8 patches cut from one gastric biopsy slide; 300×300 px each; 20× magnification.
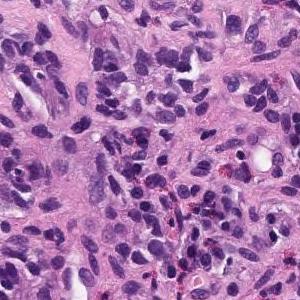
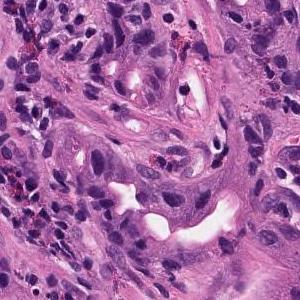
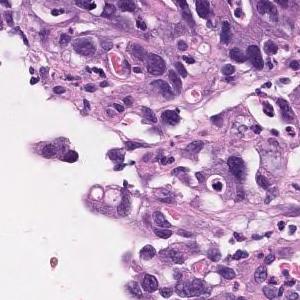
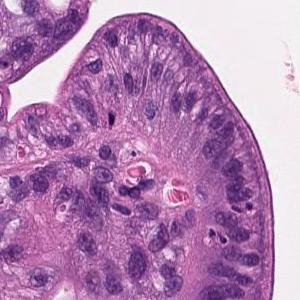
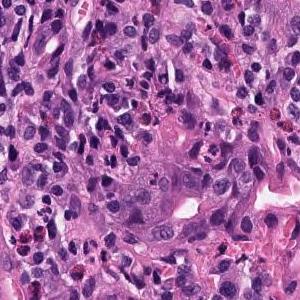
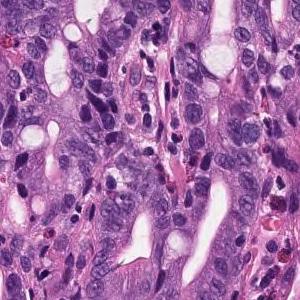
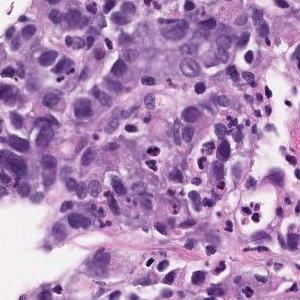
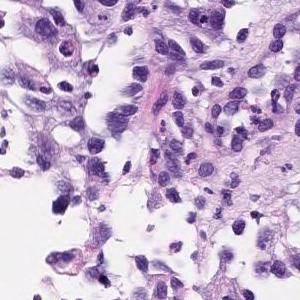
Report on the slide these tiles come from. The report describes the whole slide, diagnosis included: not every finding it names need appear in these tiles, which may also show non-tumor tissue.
moderately differentiated tubular adenocarcinoma, Poorly differentiated adenocarcinoma
Labeled in the dataset as poorly differentiated adenocarcinoma, solid type (Japanese Classification of Gastric Carcinoma). The WHO 2019 equivalent is tubular adenocarcinoma, poorly differentiated.
